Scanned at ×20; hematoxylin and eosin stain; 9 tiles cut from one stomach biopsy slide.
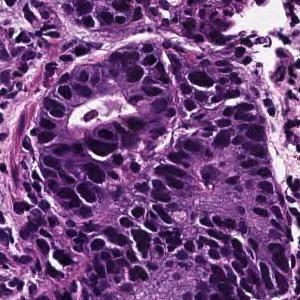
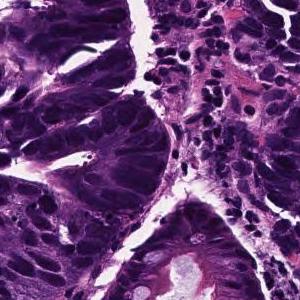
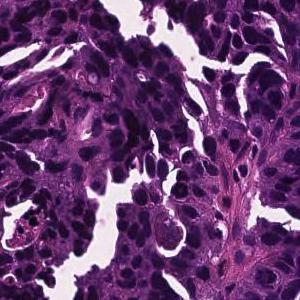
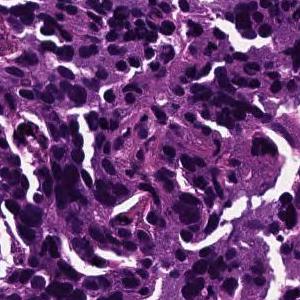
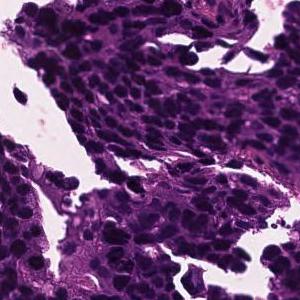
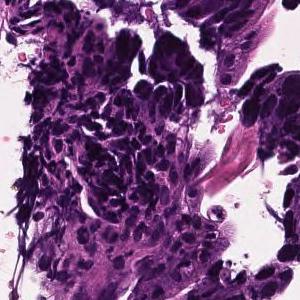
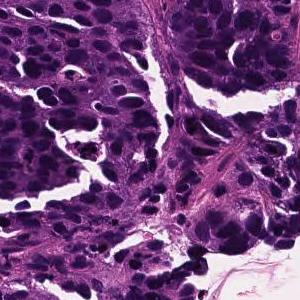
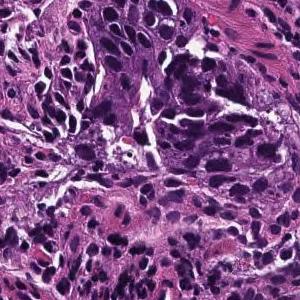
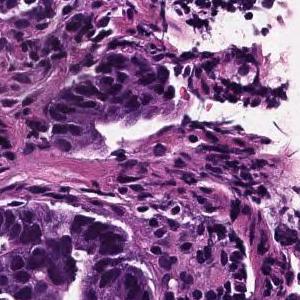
Report on the slide these tiles come from. The findings and the diagnosis refer to the entire slide; these tiles show only part of it, possibly with non-tumor tissue, and may not show every feature named.
In the superficial epithelium, medium to small irregular gland ducts are formed, and in some cases, the ducts are fused to show solid alveolar lesions and infiltrating tumor tissue is observed. moderately differentiated tubular adenocarcinoma or poorly differentiated adenocarcinoma, solid-type (poorly differentiated adenocarcinoma, solid type)
Labeled in the dataset as poorly differentiated adenocarcinoma, solid type, a category of the Japanese Classification of Gastric Carcinoma; in the WHO 2019 classification it is tubular adenocarcinoma, poorly differentiated.
